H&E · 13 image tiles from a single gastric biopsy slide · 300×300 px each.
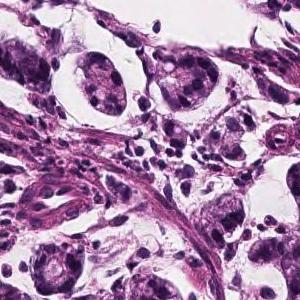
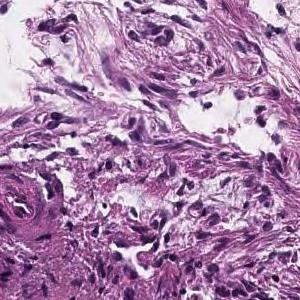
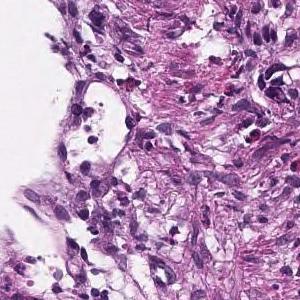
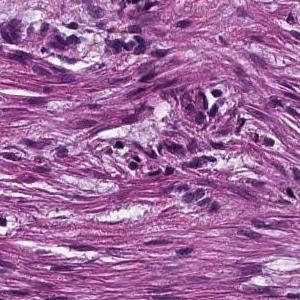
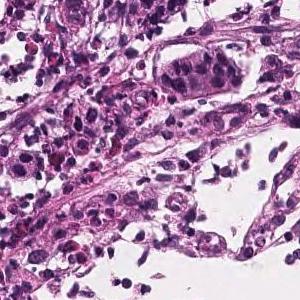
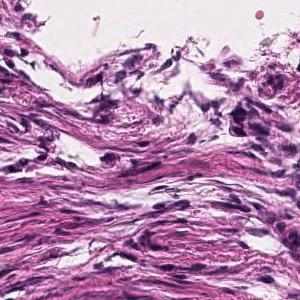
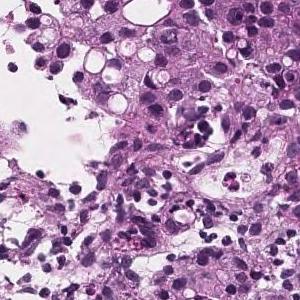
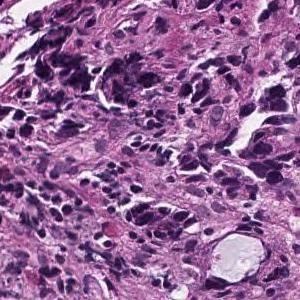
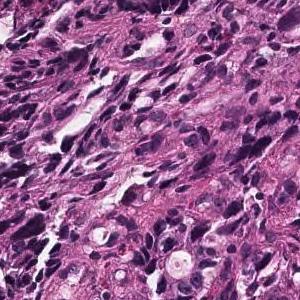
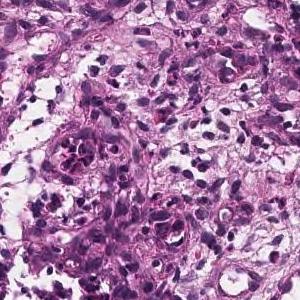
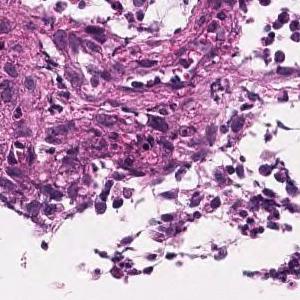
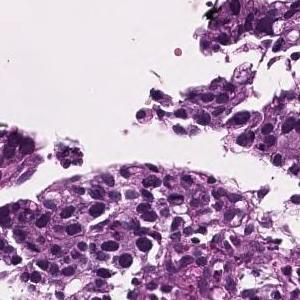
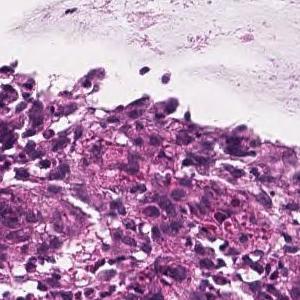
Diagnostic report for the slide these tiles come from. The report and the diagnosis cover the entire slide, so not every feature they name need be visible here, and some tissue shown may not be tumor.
Atypical epithelial cells form obscure ductal structures or small solid follicles, and tumor tissue that proliferates invasively with proliferation of inflammatory granulation tissue is observed. Mucinous adenocarcinoma .
